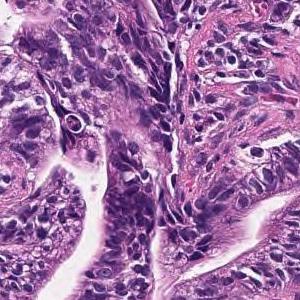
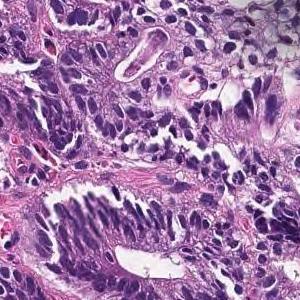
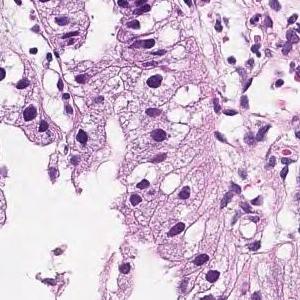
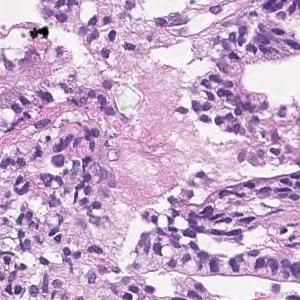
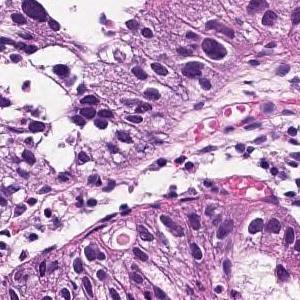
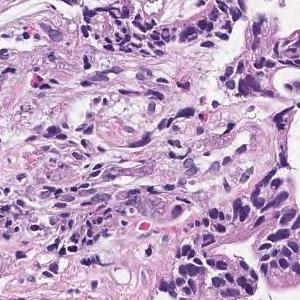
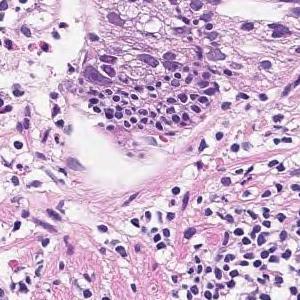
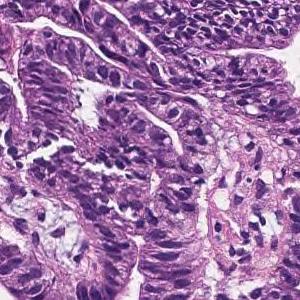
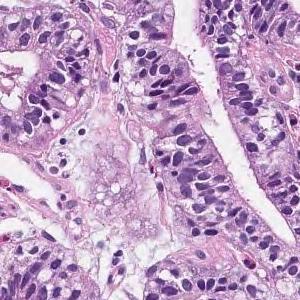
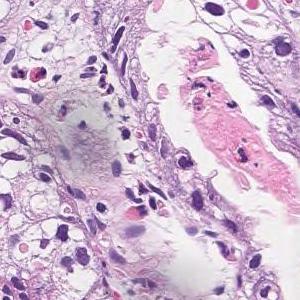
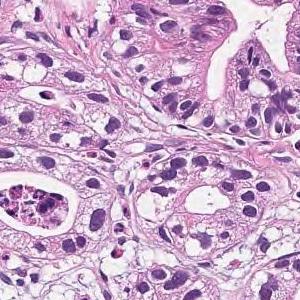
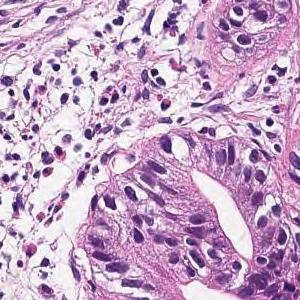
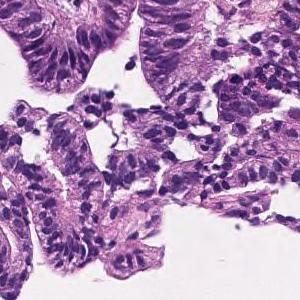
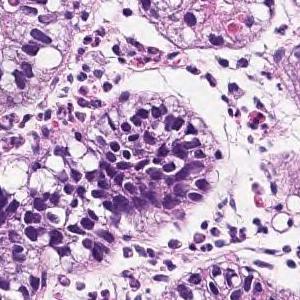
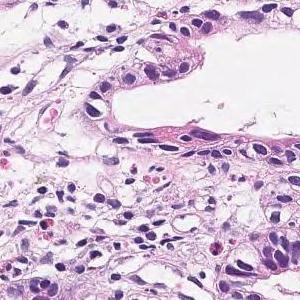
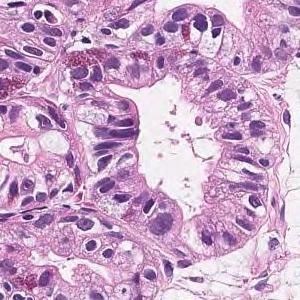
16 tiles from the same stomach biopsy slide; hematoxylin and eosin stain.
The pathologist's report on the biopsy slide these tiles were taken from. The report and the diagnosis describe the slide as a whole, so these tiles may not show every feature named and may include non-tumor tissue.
In the superficial epithelium, tumor tissue that invades by forming medium-sized to small, irregular ducts is observed. Moderately differentiated adenocarcinoma.
Subtype: Moderately differentiated tubular adenocarcinoma.
